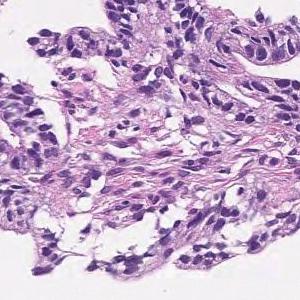
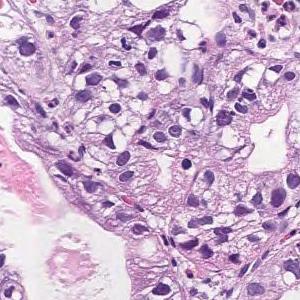
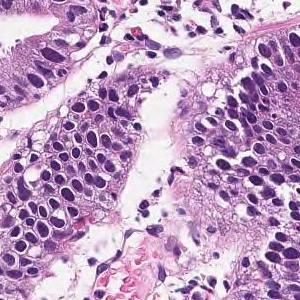
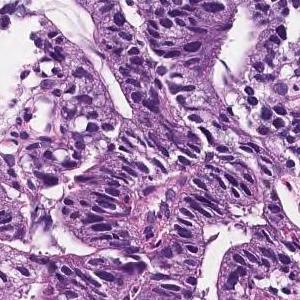
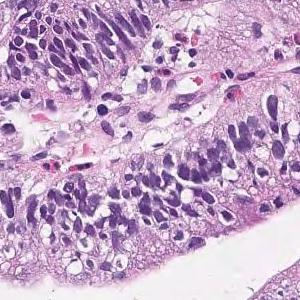
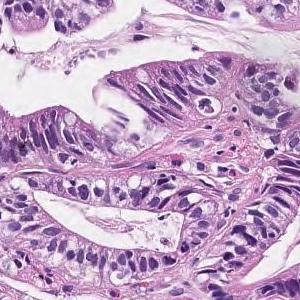
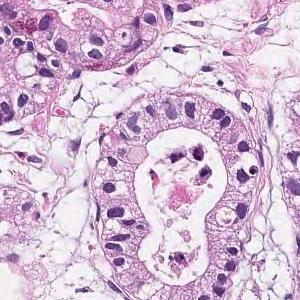
7 patches cut from one gastric biopsy slide, each 300 × 300 pixels.
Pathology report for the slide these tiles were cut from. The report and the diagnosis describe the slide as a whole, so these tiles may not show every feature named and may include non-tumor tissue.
In the superficial epithelium, tumor tissue that invades by forming medium-sized to small, irregular ducts is observed. Moderately differentiated adenocarcinoma.
Classified as moderately differentiated tubular adenocarcinoma.
